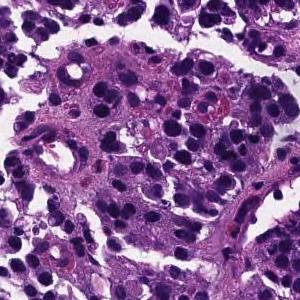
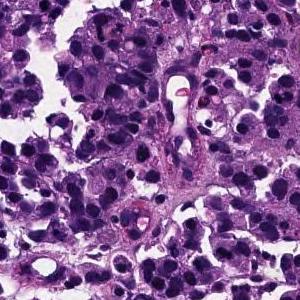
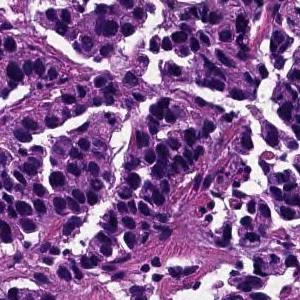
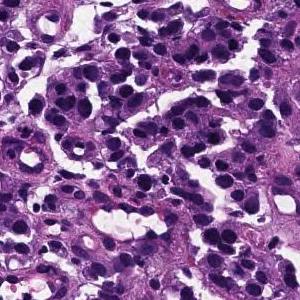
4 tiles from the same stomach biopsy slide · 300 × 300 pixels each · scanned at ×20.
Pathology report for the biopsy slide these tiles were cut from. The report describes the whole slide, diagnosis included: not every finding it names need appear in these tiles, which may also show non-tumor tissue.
The superficial epithelium shows a large alveolar shape and infiltrates tumor tissue. Poorly differentiated adenocarcinoma, solid-type
Histologic type: Poorly differentiated adenocarcinoma, solid type (Japanese Classification of Gastric Carcinoma). The WHO 2019 equivalent is tubular adenocarcinoma, poorly differentiated.
